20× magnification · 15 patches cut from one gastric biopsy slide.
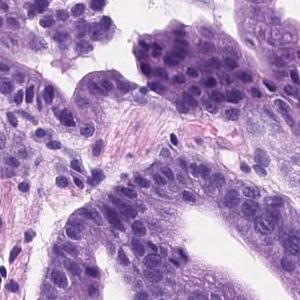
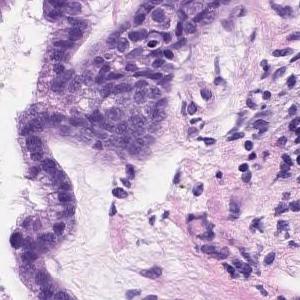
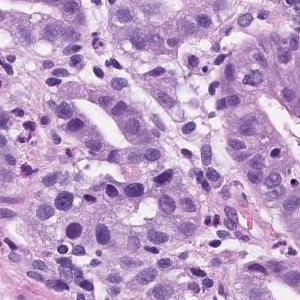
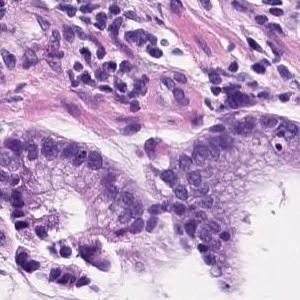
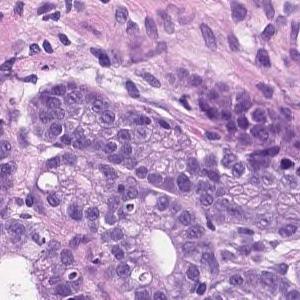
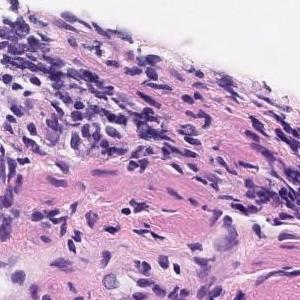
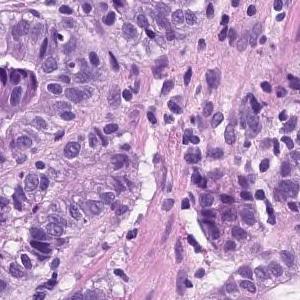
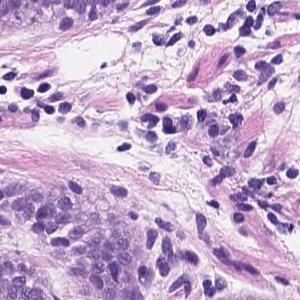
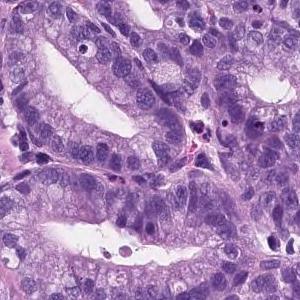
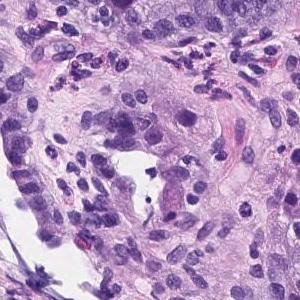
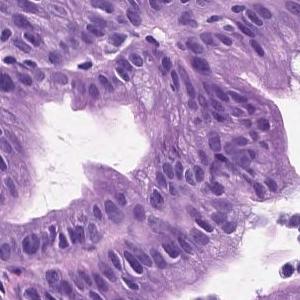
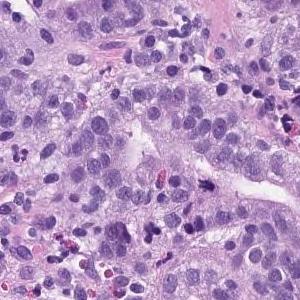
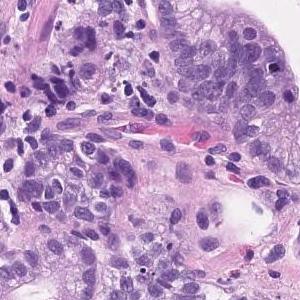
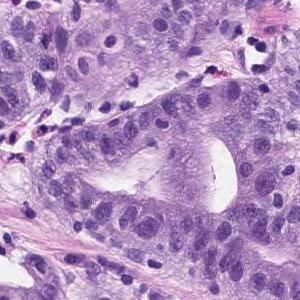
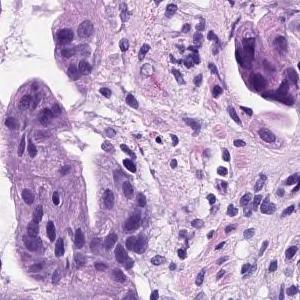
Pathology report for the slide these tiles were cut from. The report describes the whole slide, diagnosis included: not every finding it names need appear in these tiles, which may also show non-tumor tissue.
Tumor tissue consisting of medium-sized and irregular ducts is observed infiltrating in the superficial epithelium. Tumor cells are highly columnar, with nuclei aligned basolaterally and polarized. Well differentiated tubular adenocarcinoma.
